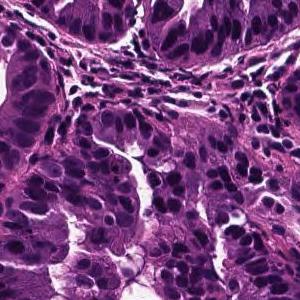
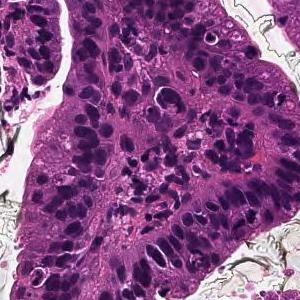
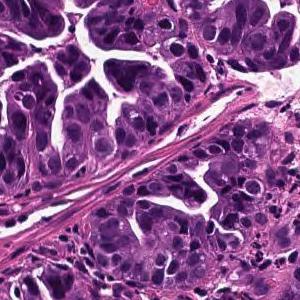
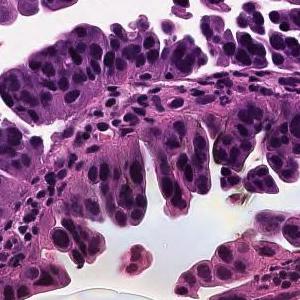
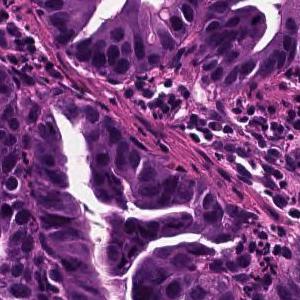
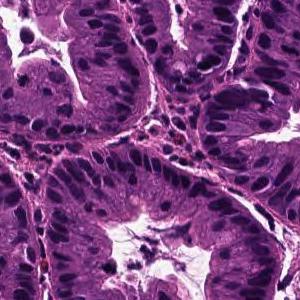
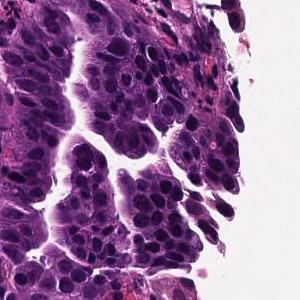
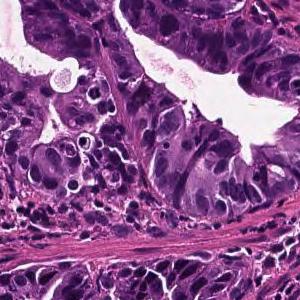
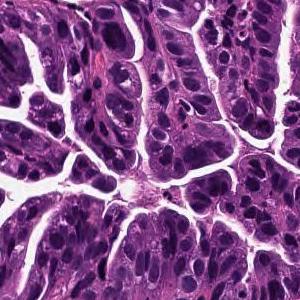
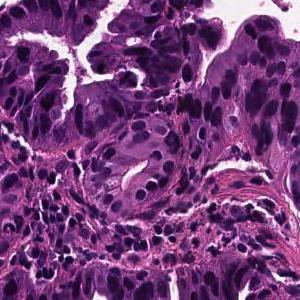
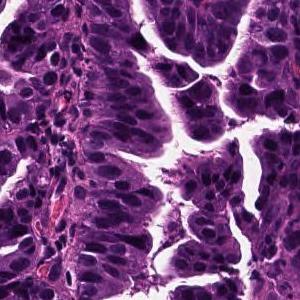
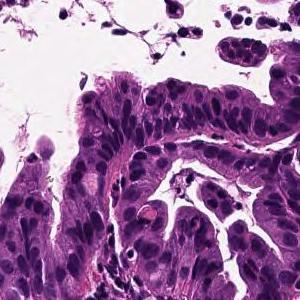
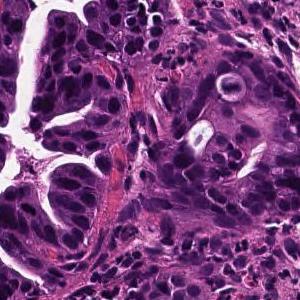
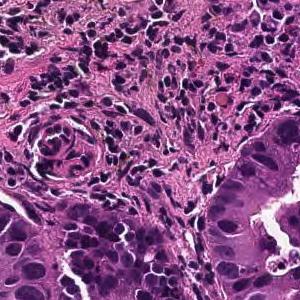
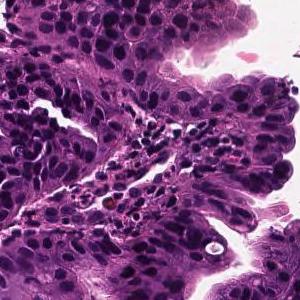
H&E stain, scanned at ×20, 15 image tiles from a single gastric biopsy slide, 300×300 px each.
Pathology report for the slide these tiles were cut from. The report and the diagnosis cover the entire slide, so not every feature they name need be visible here, and some tissue shown may not be tumor.
Tumor cells are large, highly columnar, large club-shaped nuclei, and are associated with chromatin aggregation. Papillary adenocarcinoma.
